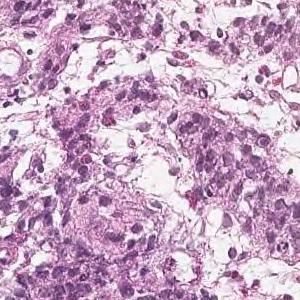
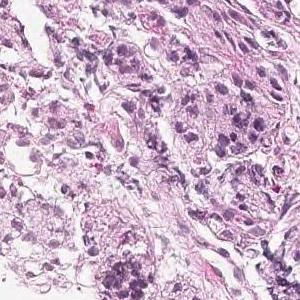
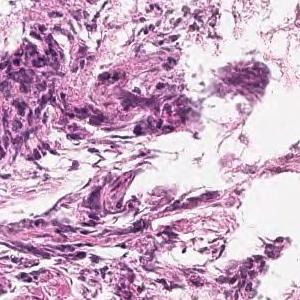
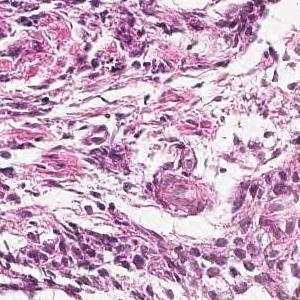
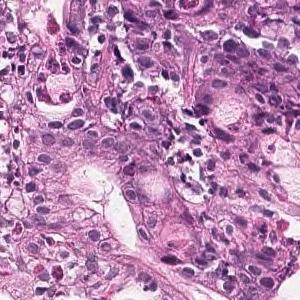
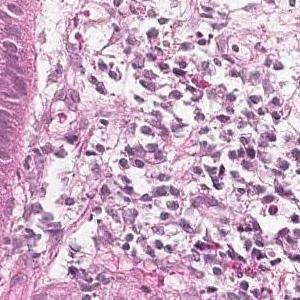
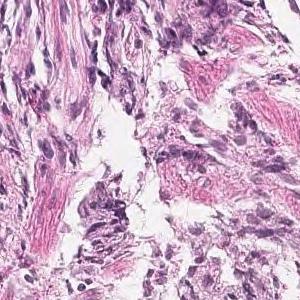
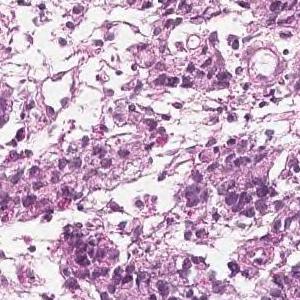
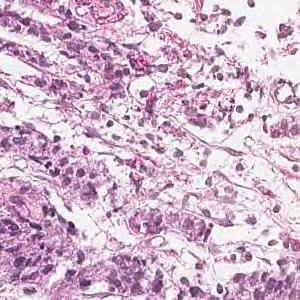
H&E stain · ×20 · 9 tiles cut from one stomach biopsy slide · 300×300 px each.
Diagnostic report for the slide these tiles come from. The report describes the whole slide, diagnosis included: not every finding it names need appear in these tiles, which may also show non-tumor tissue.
Tumor tissue consisting of medium-sized, cord-like or irregular glandular infiltration is observed in the superficial epithelium. Poorly differentiated adenocarcinoma, non-solid type or moderately differentiated tubular adenocarcinoma
The non-solid type named here is a Japanese Classification of Gastric Carcinoma category.
